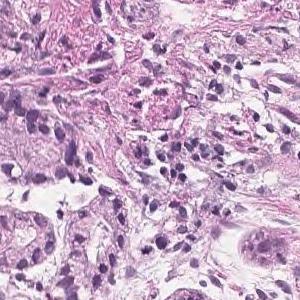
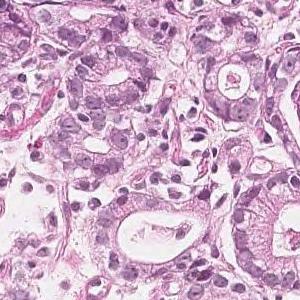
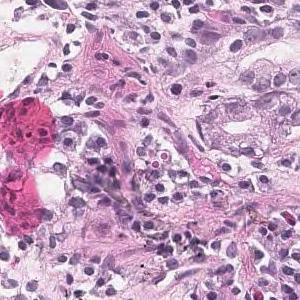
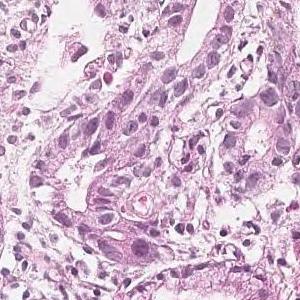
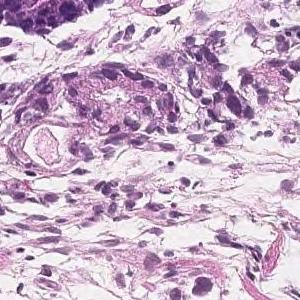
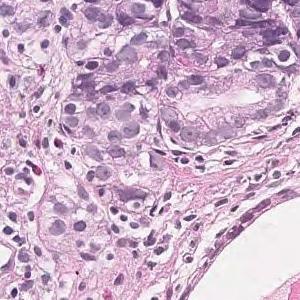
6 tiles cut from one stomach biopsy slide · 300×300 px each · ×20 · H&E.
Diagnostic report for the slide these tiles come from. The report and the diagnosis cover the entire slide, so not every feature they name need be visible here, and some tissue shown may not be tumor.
In the superficial epithelium, tumor tissue that invades by forming medium-sized to small, irregular ducts is observed. moderately differentiated tubular adenocarcinoma.
